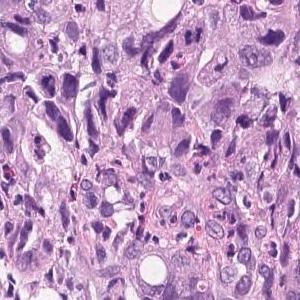
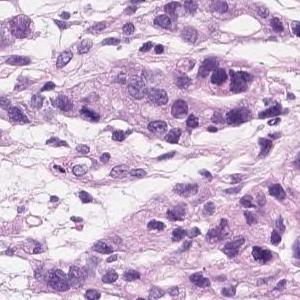
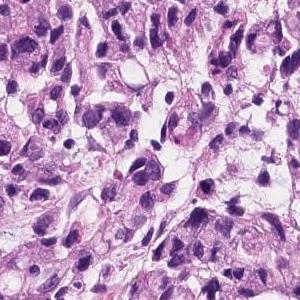
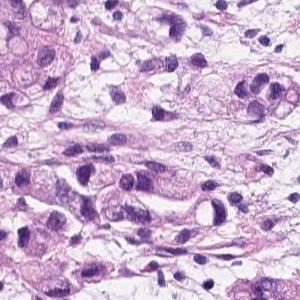
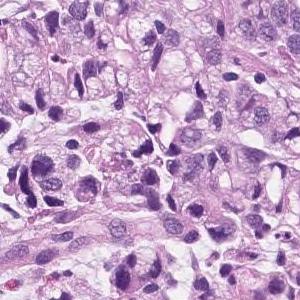
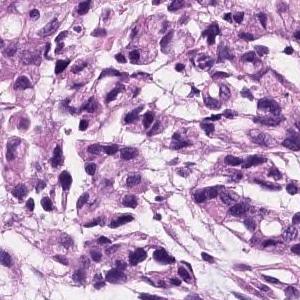
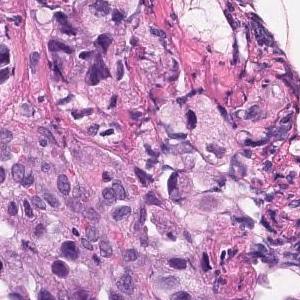
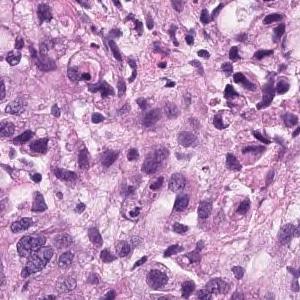
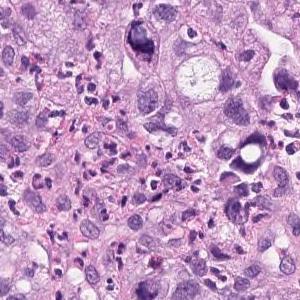
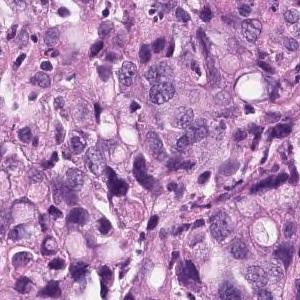
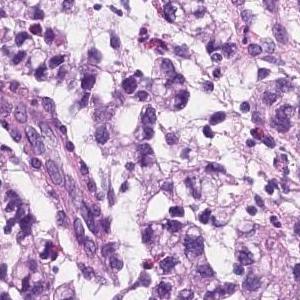
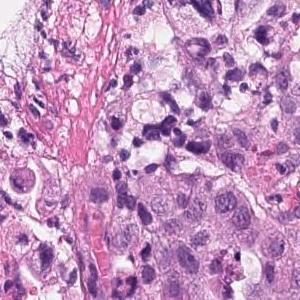
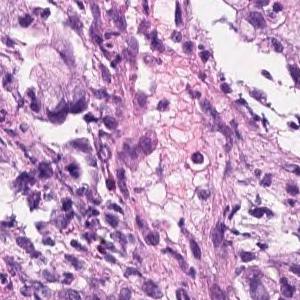
13 tiles cut from one stomach biopsy slide; 300×300 px each; ×20.
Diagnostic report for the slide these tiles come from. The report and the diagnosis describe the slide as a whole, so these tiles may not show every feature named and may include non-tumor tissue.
Group 5, Adenocarcinoma. Poorly differentiated adenocarcinoma, non-solid type
The term "non-solid type" comes from the Japanese Classification of Gastric Carcinoma.
